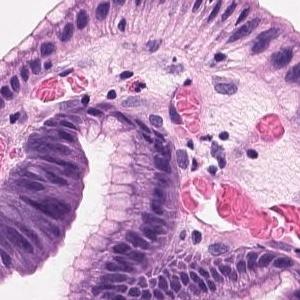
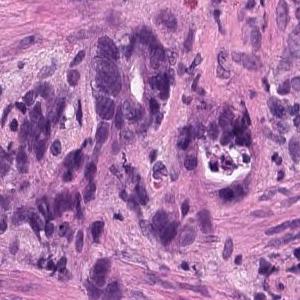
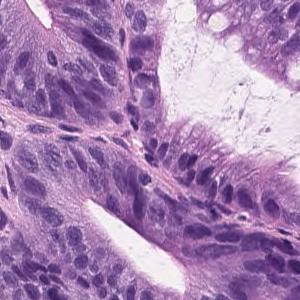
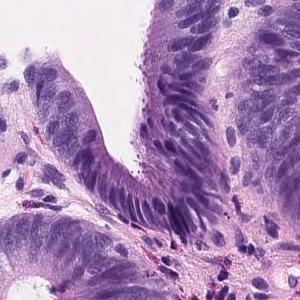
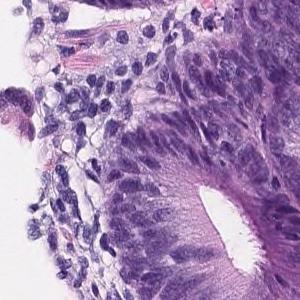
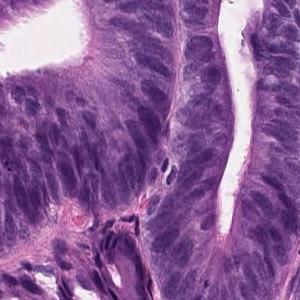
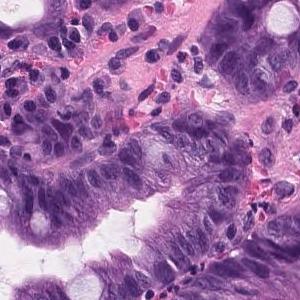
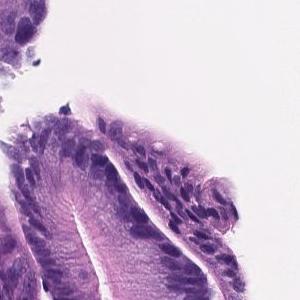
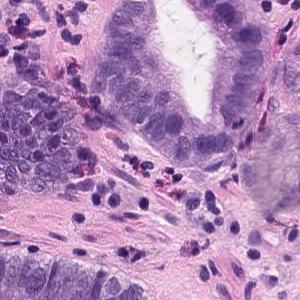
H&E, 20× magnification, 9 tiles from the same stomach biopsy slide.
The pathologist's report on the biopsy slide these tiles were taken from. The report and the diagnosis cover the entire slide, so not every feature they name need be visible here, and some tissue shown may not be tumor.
On the superficial epithelium, tumor tissue with densely growing medium to large, round tubules is observed. Tumor cells are highly columnar, with nuclei aligned basolaterally and polarized. Well differentiated tubular adenocarcinoma
